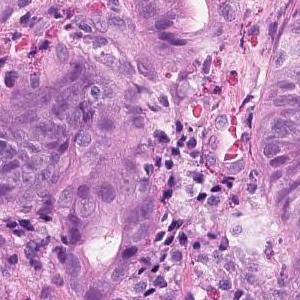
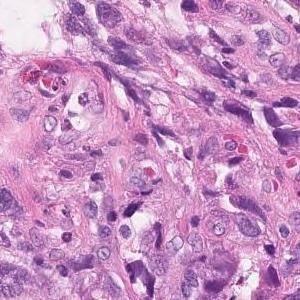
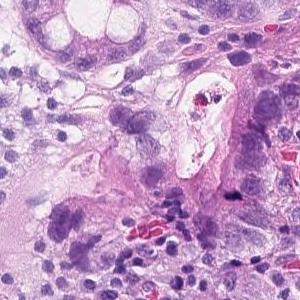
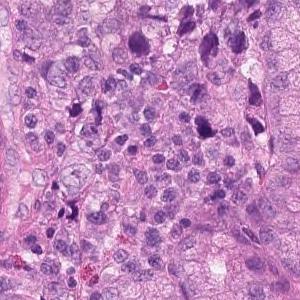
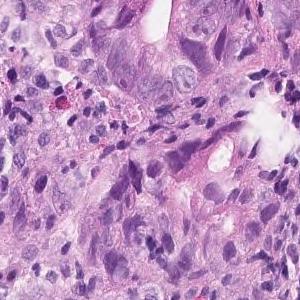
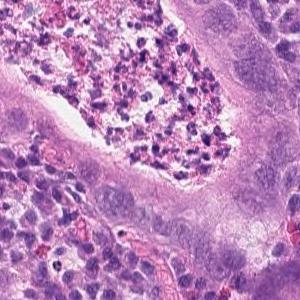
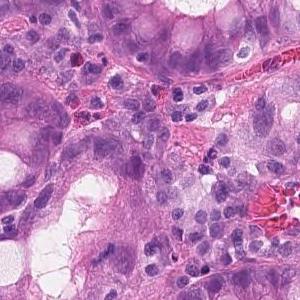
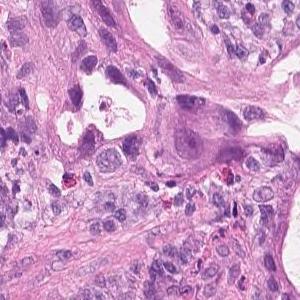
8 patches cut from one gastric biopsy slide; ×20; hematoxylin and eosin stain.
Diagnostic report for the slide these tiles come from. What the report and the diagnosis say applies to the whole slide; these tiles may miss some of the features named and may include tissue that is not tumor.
Tumor tissue showing dense, fused or diffuse, and infiltrative growth of small atypical ducts is observed. moderately differentiated tubular adenocarcinoma
